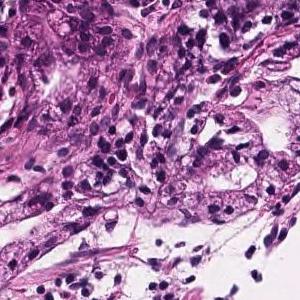
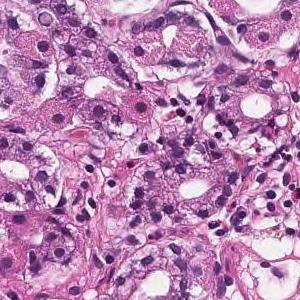
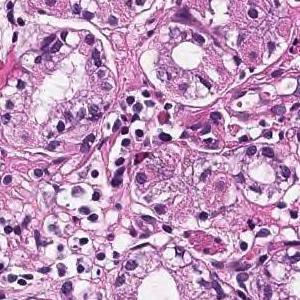
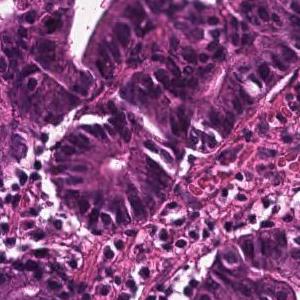
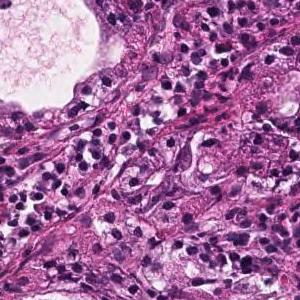
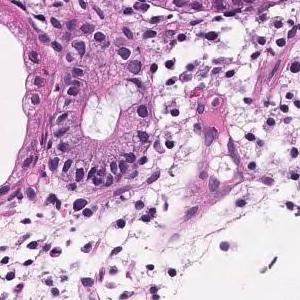
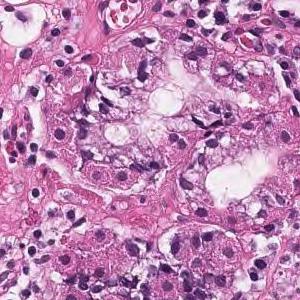
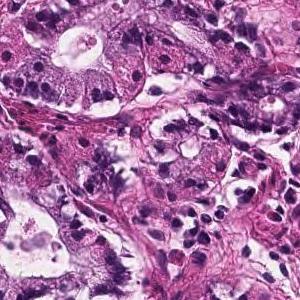
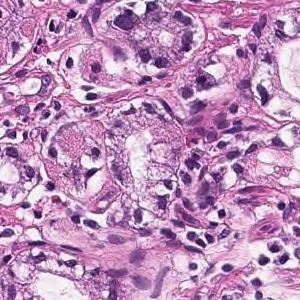
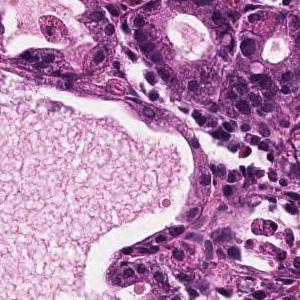
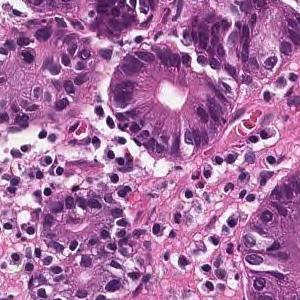
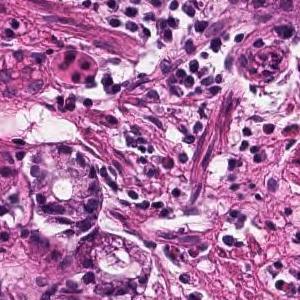
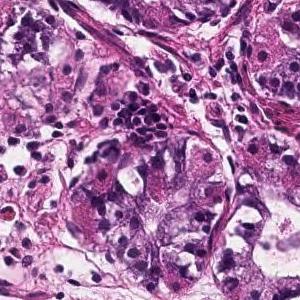
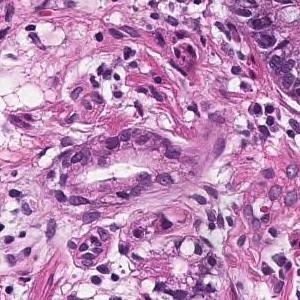
14 image tiles from a single gastric biopsy slide; 300 × 300 pixels each; 20× magnification; H&E.
Pathology report for the biopsy slide these tiles were cut from. The report and the diagnosis describe the slide as a whole, so these tiles may not show every feature named and may include non-tumor tissue.
Tumor tissue in which medium to small irregular ducts infiltrate and proliferate in the submucosa can be seen in the epithelium. Well differentiated tubular adenocarcinoma
